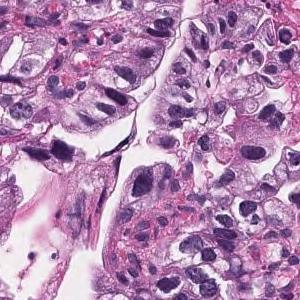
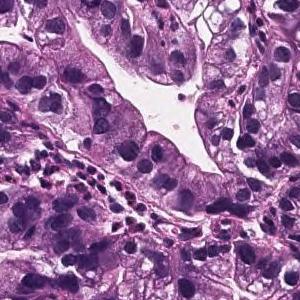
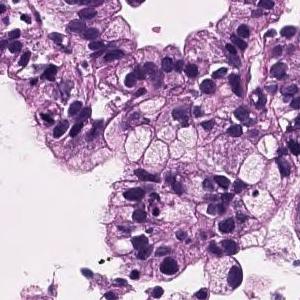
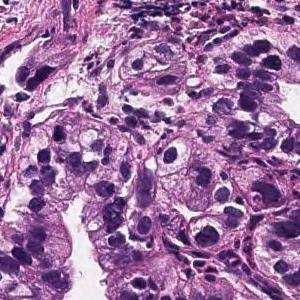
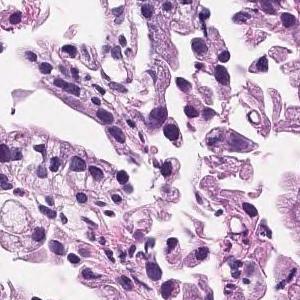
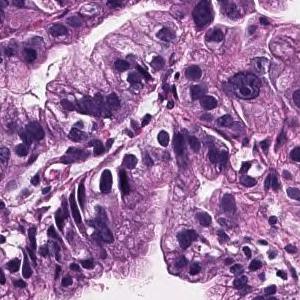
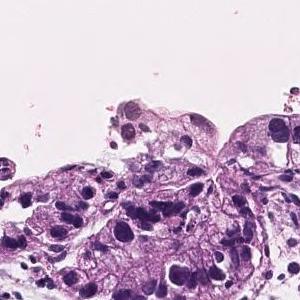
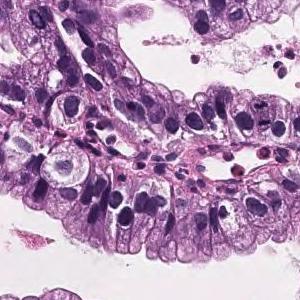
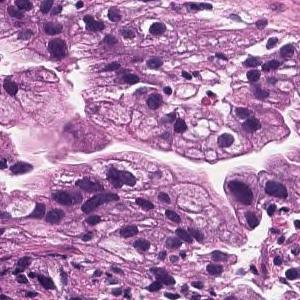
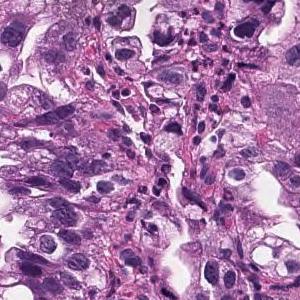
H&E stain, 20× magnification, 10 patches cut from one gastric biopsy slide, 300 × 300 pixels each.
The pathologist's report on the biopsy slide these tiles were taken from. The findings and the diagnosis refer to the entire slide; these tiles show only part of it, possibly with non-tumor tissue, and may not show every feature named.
Tumor cells are large, highly columnar, large club-shaped nuclei, and are associated with chromatin aggregation. Papillary adenocarcinoma.
